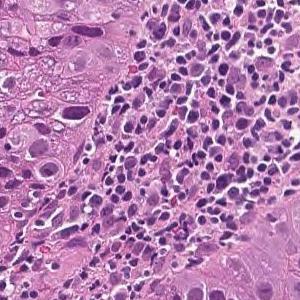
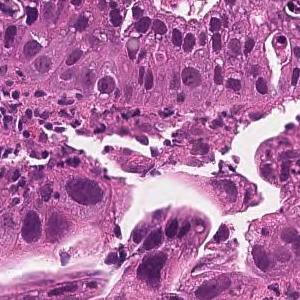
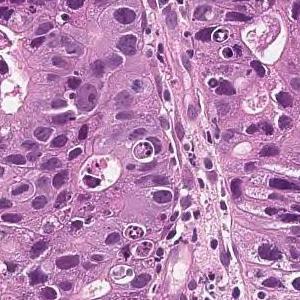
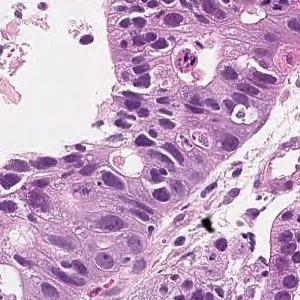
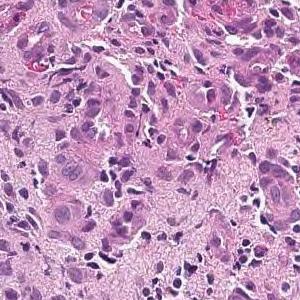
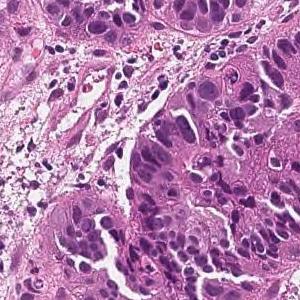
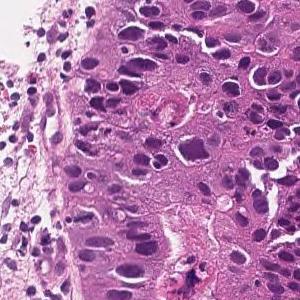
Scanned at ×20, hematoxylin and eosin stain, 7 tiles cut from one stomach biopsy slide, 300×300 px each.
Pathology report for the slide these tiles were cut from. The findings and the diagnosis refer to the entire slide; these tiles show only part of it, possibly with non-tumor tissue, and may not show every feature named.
In the superficial epithelium, tumor tissue that invades by forming medium-sized to small, irregular ducts is observed. moderately differentiated tubular adenocarcinoma.
